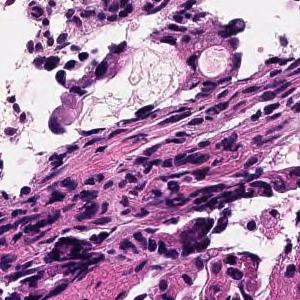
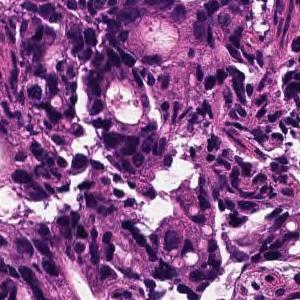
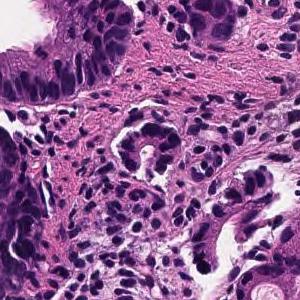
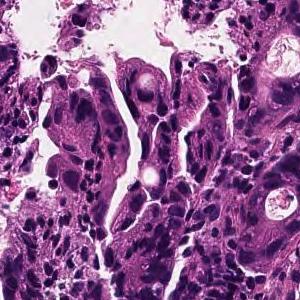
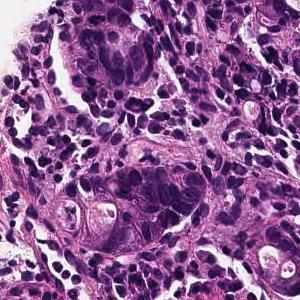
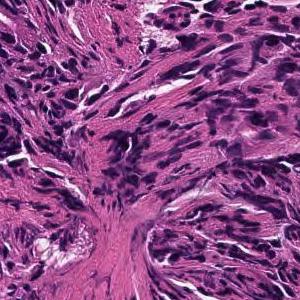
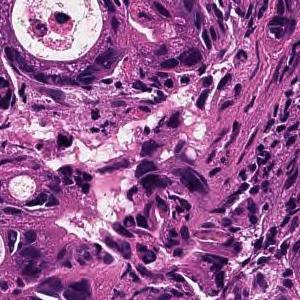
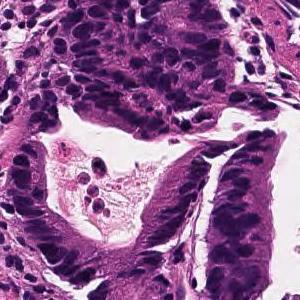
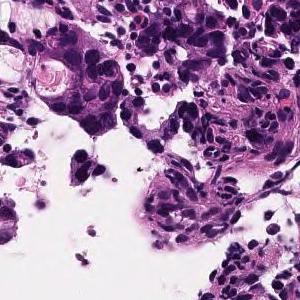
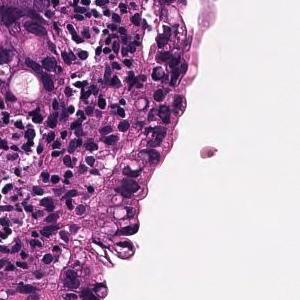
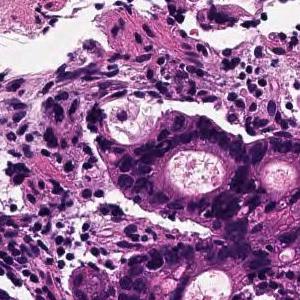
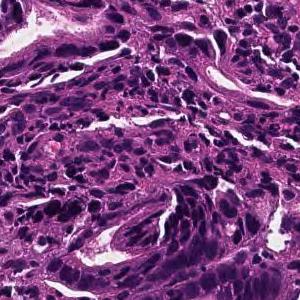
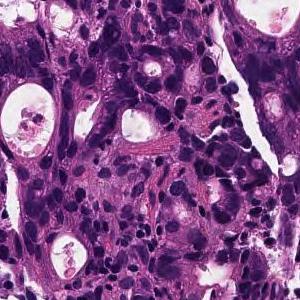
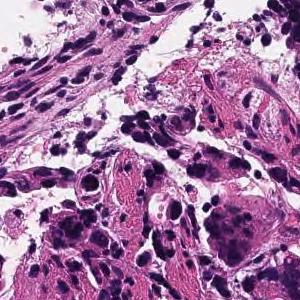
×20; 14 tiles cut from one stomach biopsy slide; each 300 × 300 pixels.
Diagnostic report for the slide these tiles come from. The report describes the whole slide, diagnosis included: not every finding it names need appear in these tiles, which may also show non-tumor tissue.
In the superficial epithelium, tumor tissue that invades by forming medium-sized to small, irregular ducts is observed. moderately differentiated tubular adenocarcinoma.
